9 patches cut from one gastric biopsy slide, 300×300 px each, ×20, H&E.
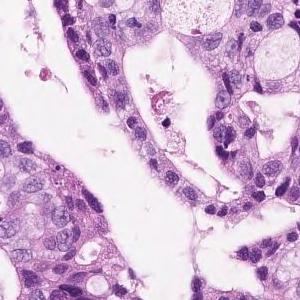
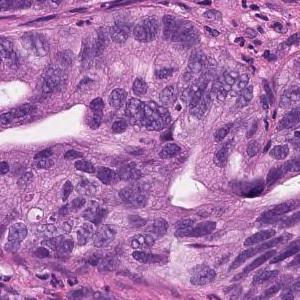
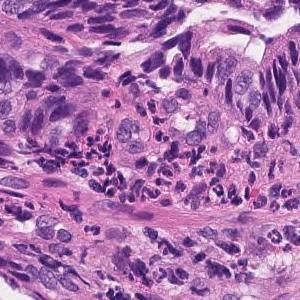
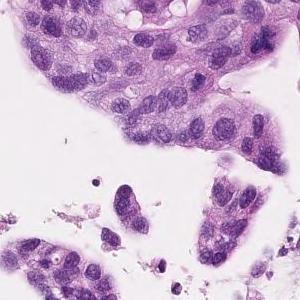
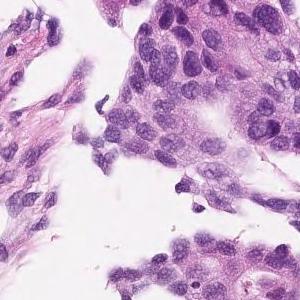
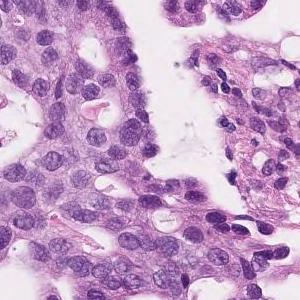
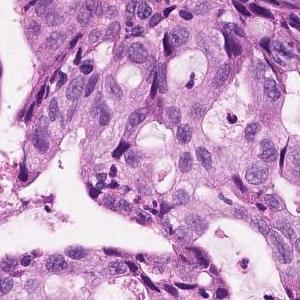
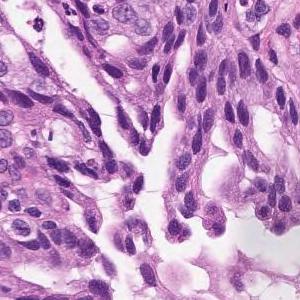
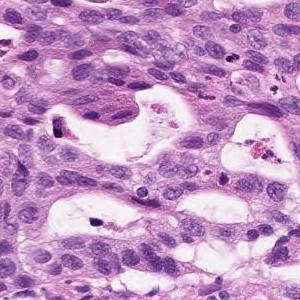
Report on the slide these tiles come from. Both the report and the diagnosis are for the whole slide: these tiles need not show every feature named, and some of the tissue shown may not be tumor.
Atypical epithelium forming papillary or sieving ducts and infiltrating growth is observed. Papillary adenocarcinoma.
